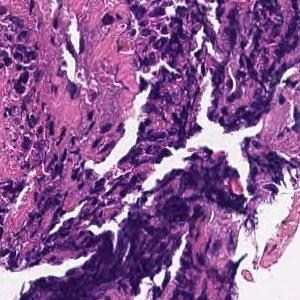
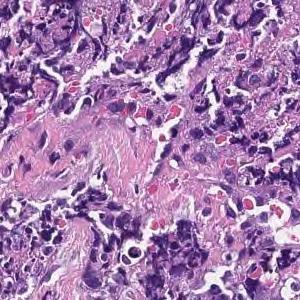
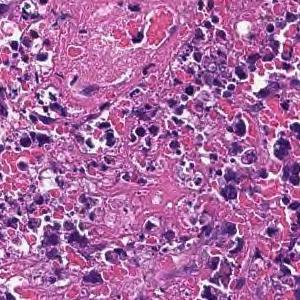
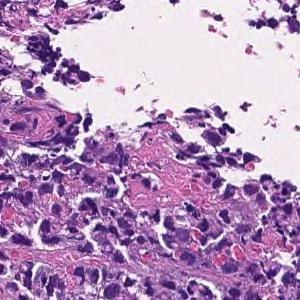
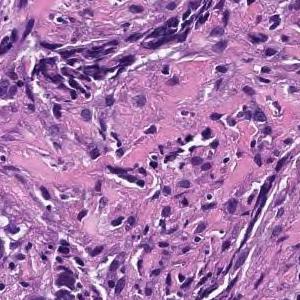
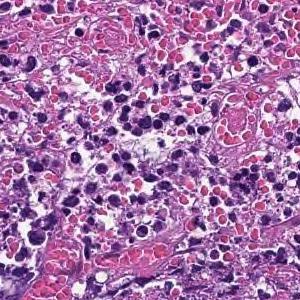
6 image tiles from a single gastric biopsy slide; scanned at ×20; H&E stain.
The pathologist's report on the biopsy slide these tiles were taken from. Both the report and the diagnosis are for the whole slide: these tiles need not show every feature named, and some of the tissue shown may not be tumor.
Most are composed of coagulative necrotic tissue, but some show a large sheet-like shape, and some show tumor tissue infiltrating with a small cord-like structure. Poorly differentiated adenocarcinoma, solid-type
Histological subtype: Poorly differentiated adenocarcinoma, solid type, a category of the Japanese Classification of Gastric Carcinoma; in the WHO 2019 classification it is tubular adenocarcinoma, poorly differentiated.
